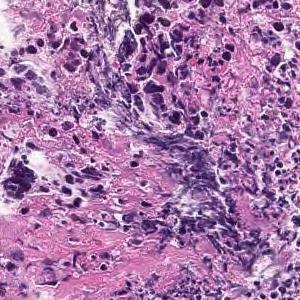
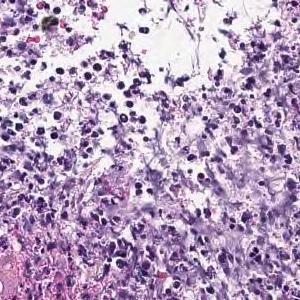
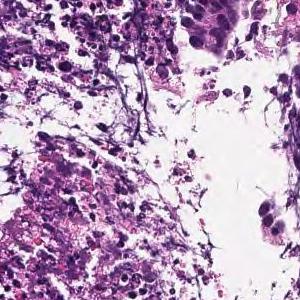
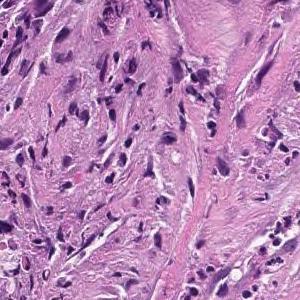
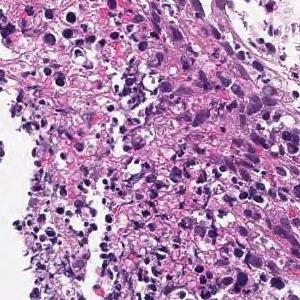
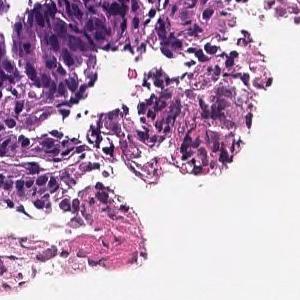
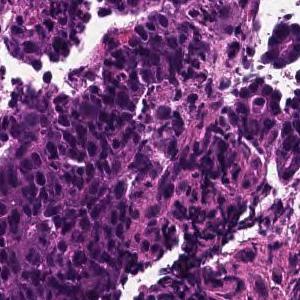
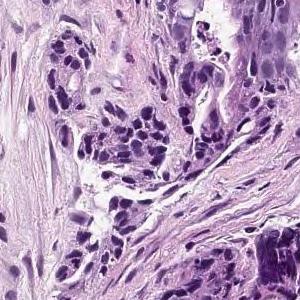
8 image tiles from a single gastric biopsy slide; H&E; scanned at ×20.
Diagnostic report for the slide these tiles come from. Both the report and the diagnosis are for the whole slide: these tiles need not show every feature named, and some of the tissue shown may not be tumor.
In the superficial epithelium, tumor tissue that invades by forming medium-sized to small, irregular ducts is observed. moderately differentiated tubular adenocarcinoma.
